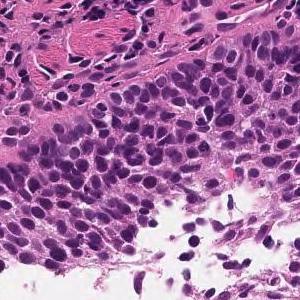
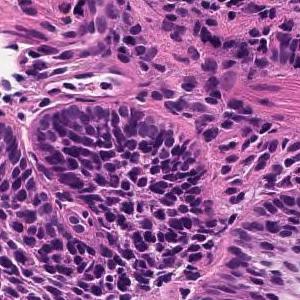
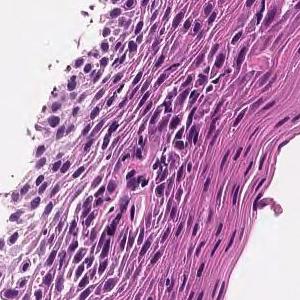
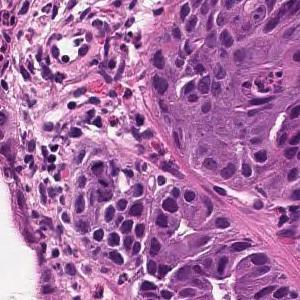
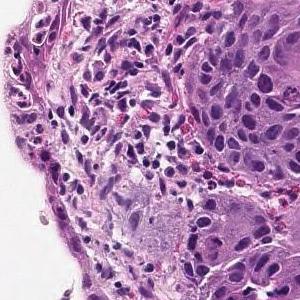
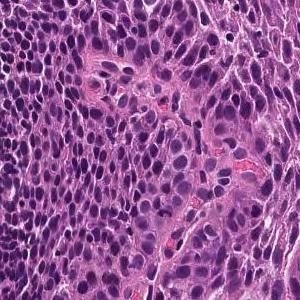
6 image tiles from a single gastric biopsy slide; 300×300 px each; 20× magnification; H&E.
Diagnostic report for the slide these tiles come from. What the report and the diagnosis say applies to the whole slide; these tiles may miss some of the features named and may include tissue that is not tumor.
On the superficial epithelium, tumor tissue is found in which medium-sized irregular gland ducts fuse with each other and infiltrate. moderately differentiated tubular adenocarcinoma
